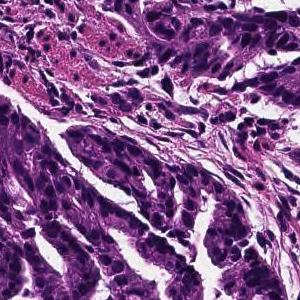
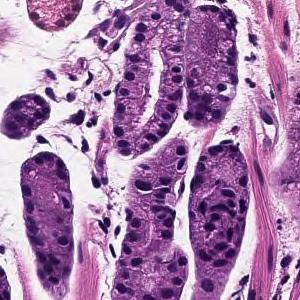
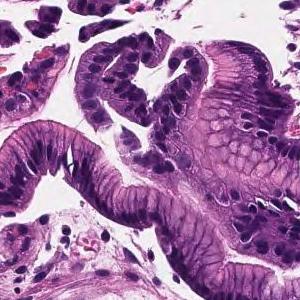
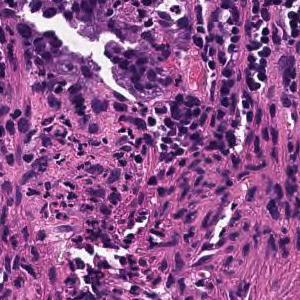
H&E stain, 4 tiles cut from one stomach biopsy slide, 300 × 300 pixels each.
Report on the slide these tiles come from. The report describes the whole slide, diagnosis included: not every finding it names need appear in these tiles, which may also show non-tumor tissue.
On the superficial epithelium, tumor tissue that infiltrates by forming medium-sized papillary or small irregular ducts is observed. Papillary adenocarcinoma
